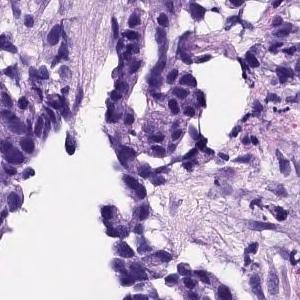
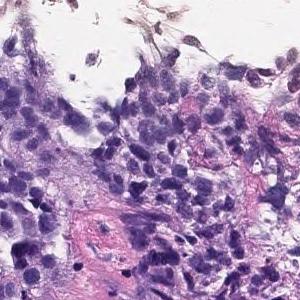
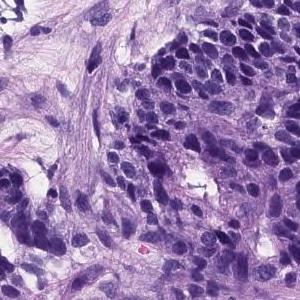
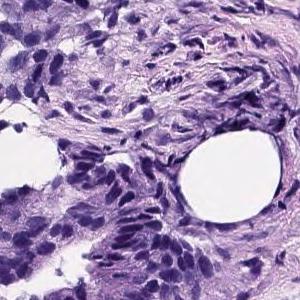
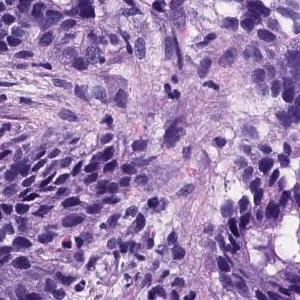
Scanned at ×20; 5 tiles cut from one stomach biopsy slide.
Diagnostic report for the slide these tiles come from. The report and the diagnosis describe the slide as a whole, so these tiles may not show every feature named and may include non-tumor tissue.
In the superficial epithelium, tumor tissue that invades by forming medium-sized to small, irregular ducts is observed. Tumor cells are columnar or cuboidal in shape. Moderately differentiated adenocarcinoma.
Histologic type: Moderately differentiated tubular adenocarcinoma.
